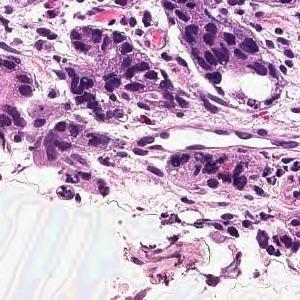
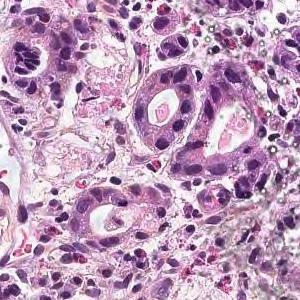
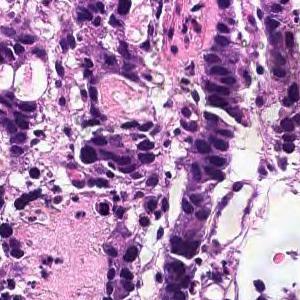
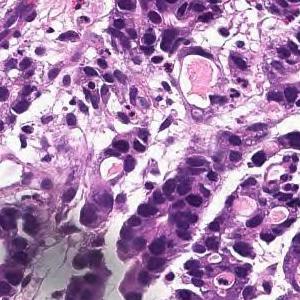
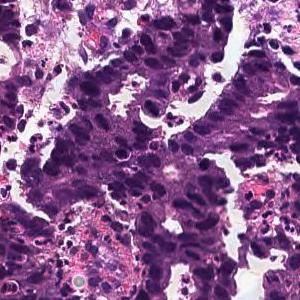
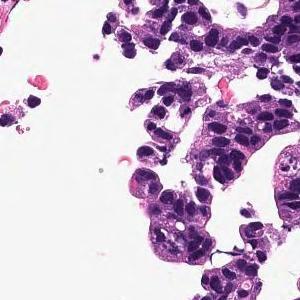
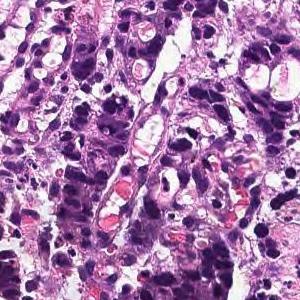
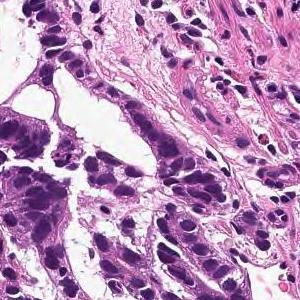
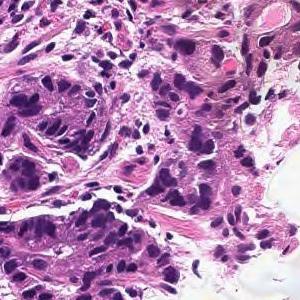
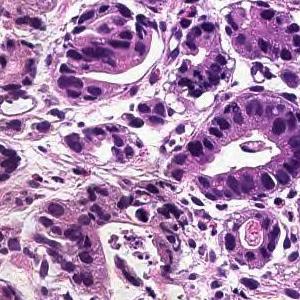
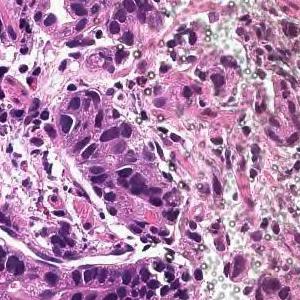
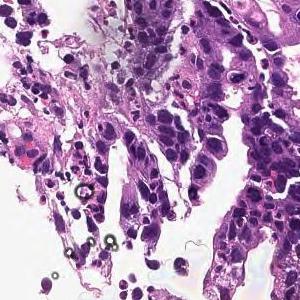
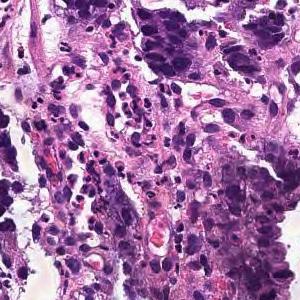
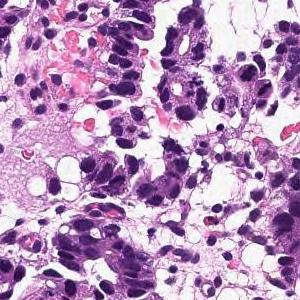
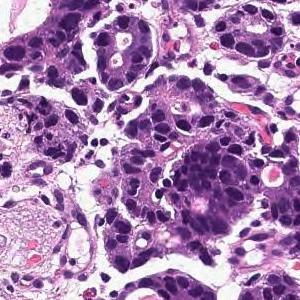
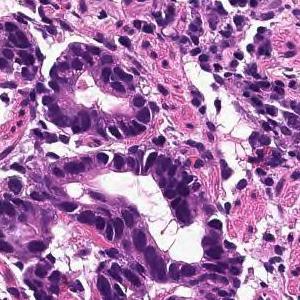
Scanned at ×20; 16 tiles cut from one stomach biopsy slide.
Pathology report for the slide these tiles were cut from. The report and the diagnosis cover the entire slide, so not every feature they name need be visible here, and some tissue shown may not be tumor.
In the superficial epithelium, tumor tissue that invades by forming medium-sized to small, irregular ducts is observed. moderately differentiated tubular adenocarcinoma.
